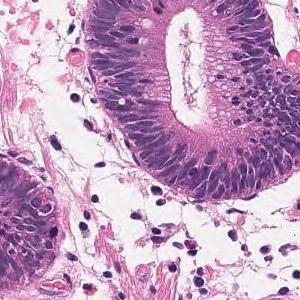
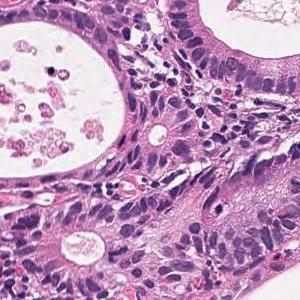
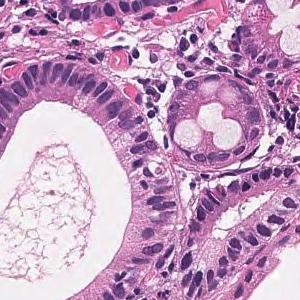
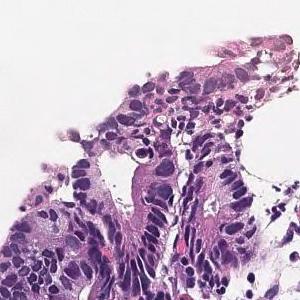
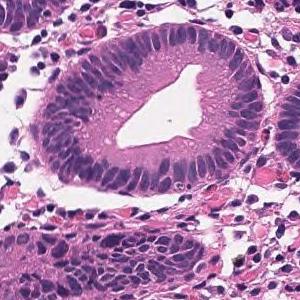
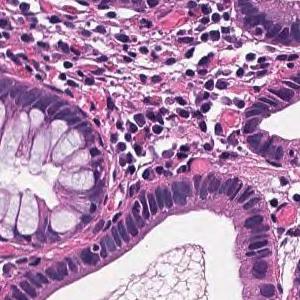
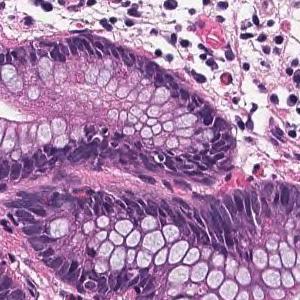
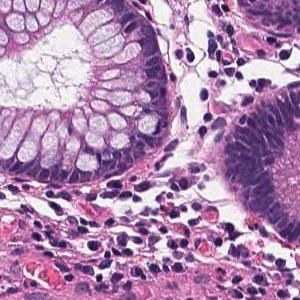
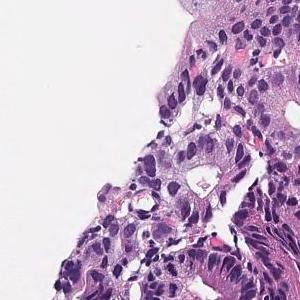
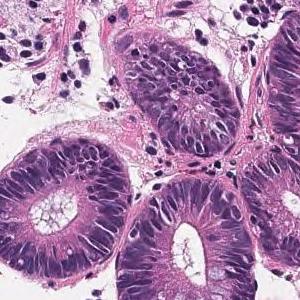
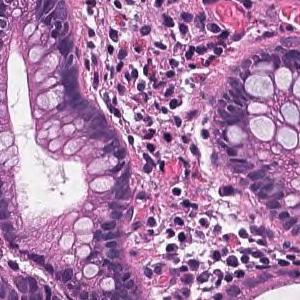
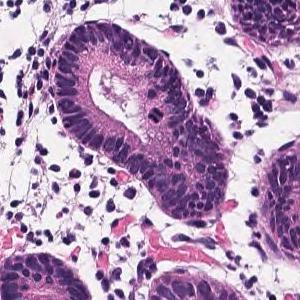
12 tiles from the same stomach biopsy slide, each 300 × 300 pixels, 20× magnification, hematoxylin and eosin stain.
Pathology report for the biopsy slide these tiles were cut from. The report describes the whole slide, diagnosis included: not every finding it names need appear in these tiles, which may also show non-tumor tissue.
Tumor tissue in which medium to small irregular ducts infiltrate and proliferate in the submucosa can be seen in the epithelium. Well differentiated tubular adenocarcinoma
